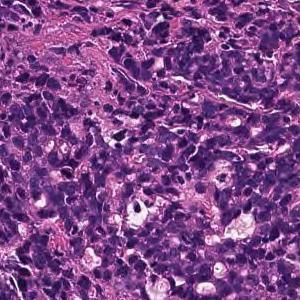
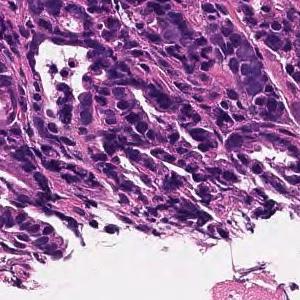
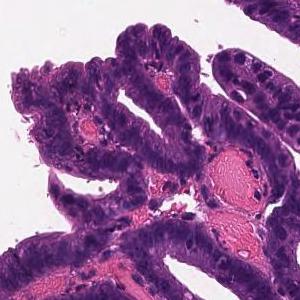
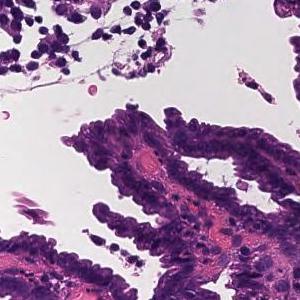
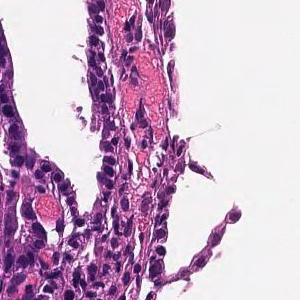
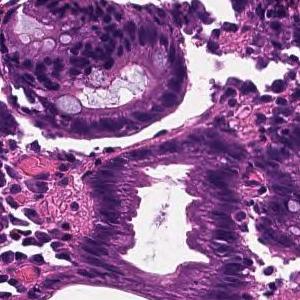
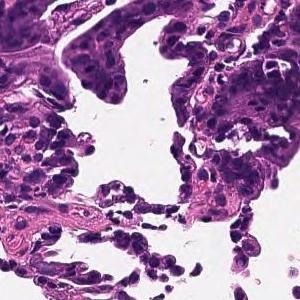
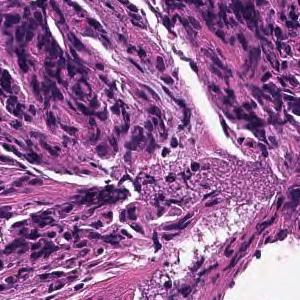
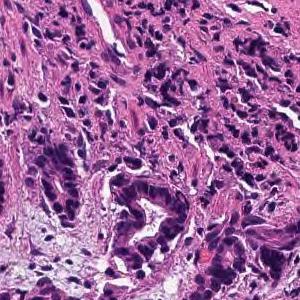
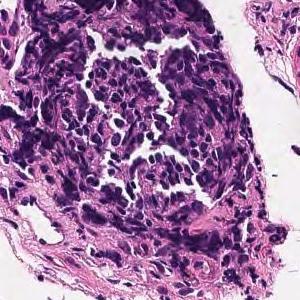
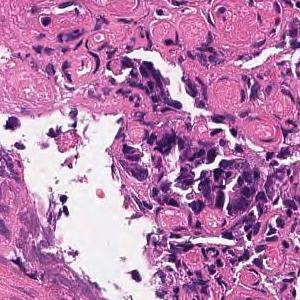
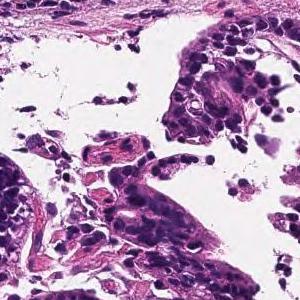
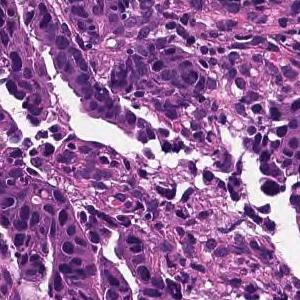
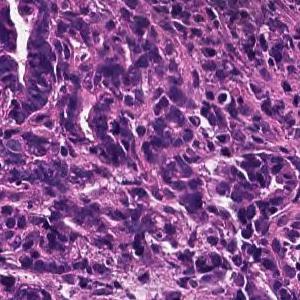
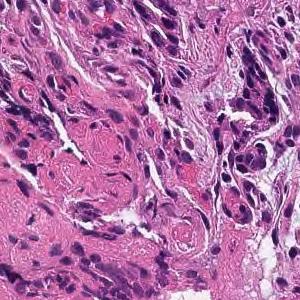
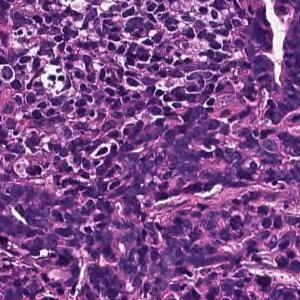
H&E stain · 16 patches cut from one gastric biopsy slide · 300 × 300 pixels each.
Pathology report for the slide these tiles were cut from. The findings and the diagnosis refer to the entire slide; these tiles show only part of it, possibly with non-tumor tissue, and may not show every feature named.
Medium to small, irregular glandular ducts are formed in the superficial epithelium, and some tumor tissues show small cords and infiltrate. moderately differentiated tubular adenocarcinoma or Poorly differentiated adenocarcinoma, non-solid type
Labeled in the dataset as moderately differentiated tubular adenocarcinoma.
The term "non-solid type" comes from the Japanese Classification of Gastric Carcinoma.
